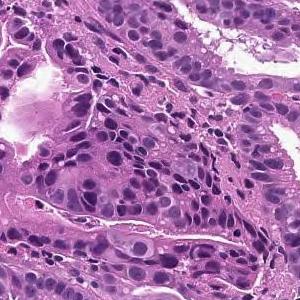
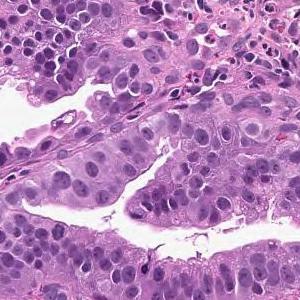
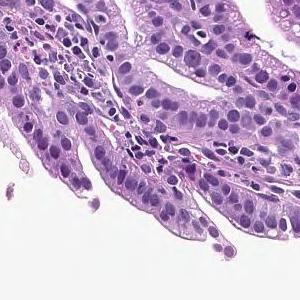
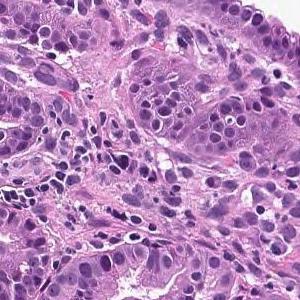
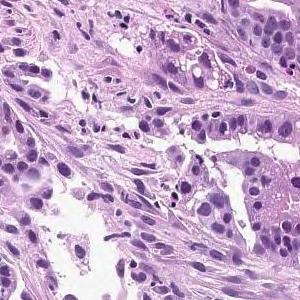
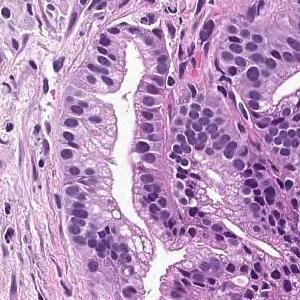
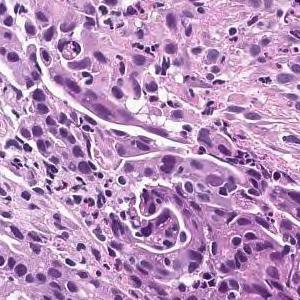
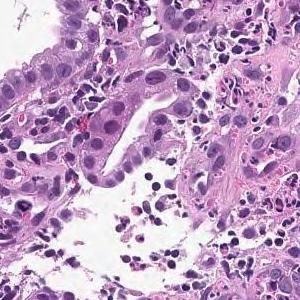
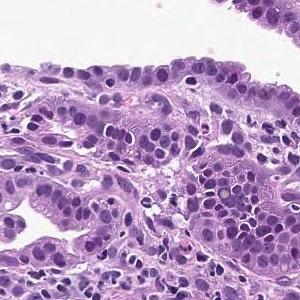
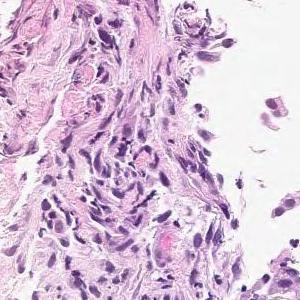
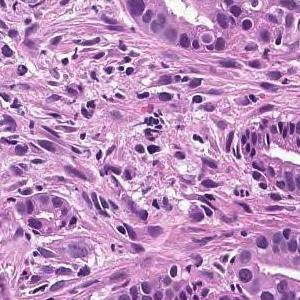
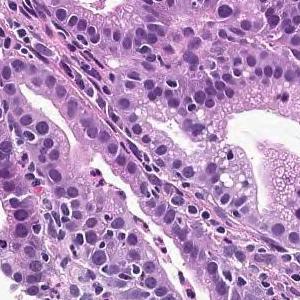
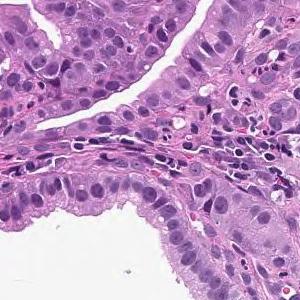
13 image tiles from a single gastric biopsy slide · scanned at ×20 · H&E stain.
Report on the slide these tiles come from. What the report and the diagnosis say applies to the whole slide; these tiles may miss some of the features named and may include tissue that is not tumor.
On the superficial epithelium, tumor tissue that infiltrates by forming medium-sized papillary or small irregular ducts is observed. Papillary adenocarcinoma
